10 patches cut from one gastric biopsy slide, 300 × 300 pixels each, 20× magnification.
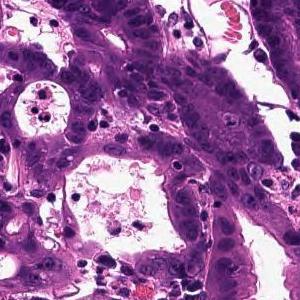
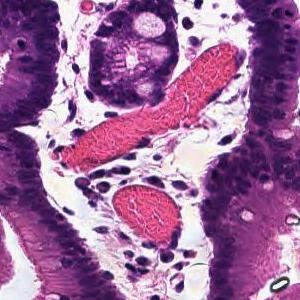
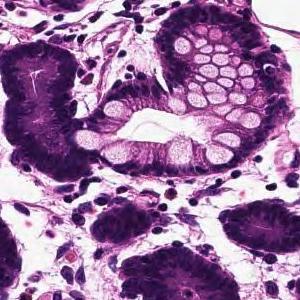
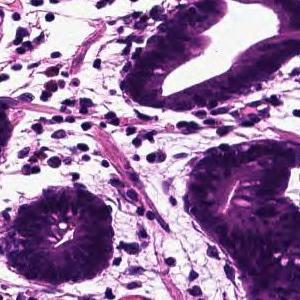
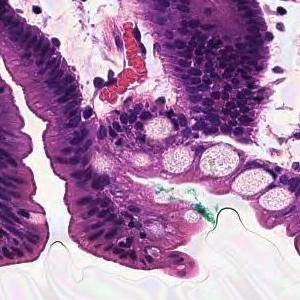
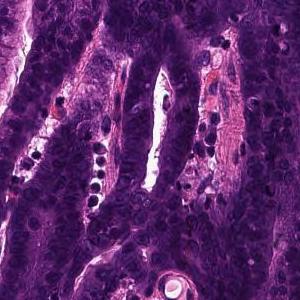
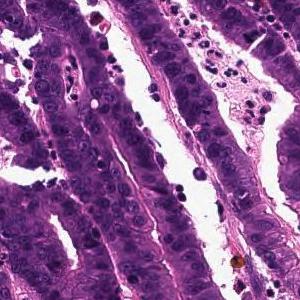
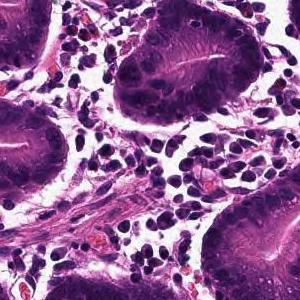
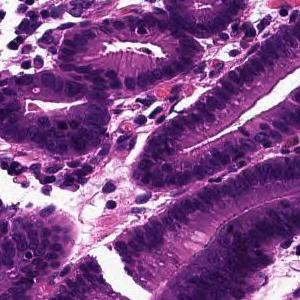
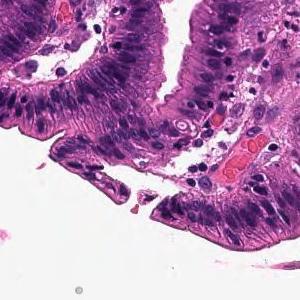
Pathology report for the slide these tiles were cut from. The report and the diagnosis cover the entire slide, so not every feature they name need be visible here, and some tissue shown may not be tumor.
Tumor tissue that infiltrates by forming large papillary or large irregular glandular ducts is observed confined to the mucosa. Papillary adenocarcinoma
